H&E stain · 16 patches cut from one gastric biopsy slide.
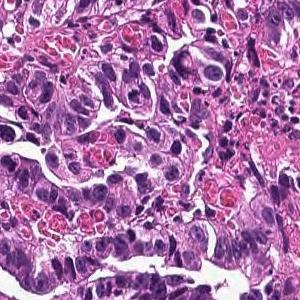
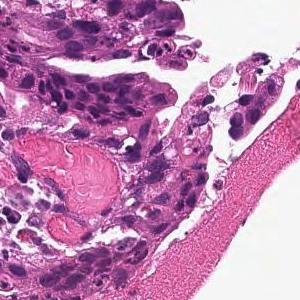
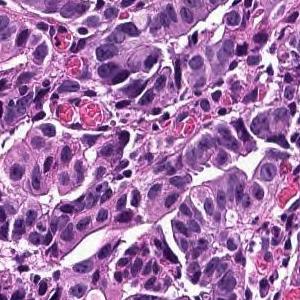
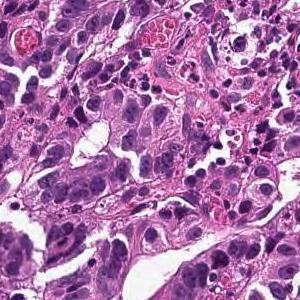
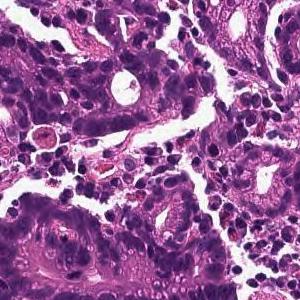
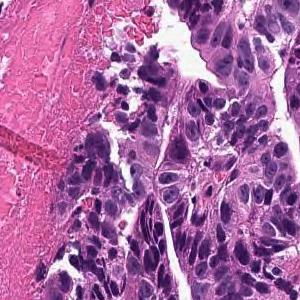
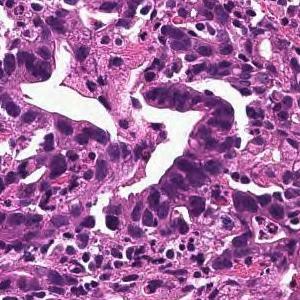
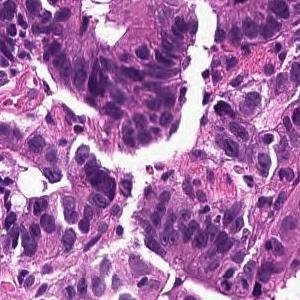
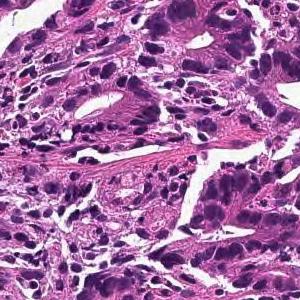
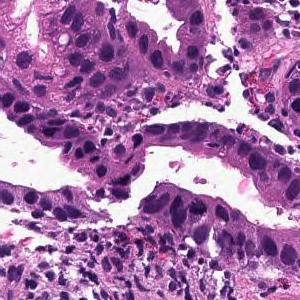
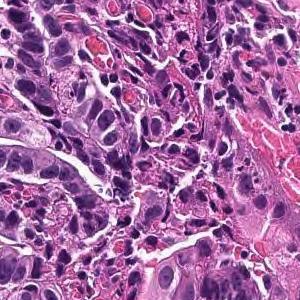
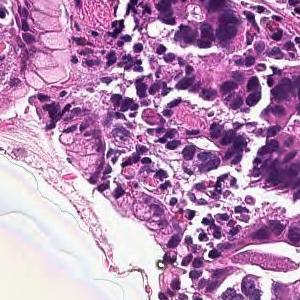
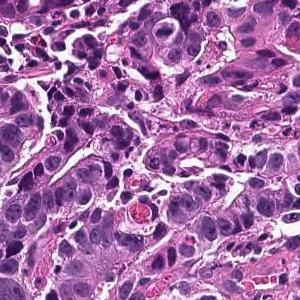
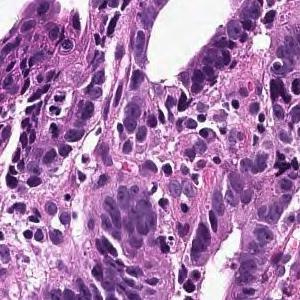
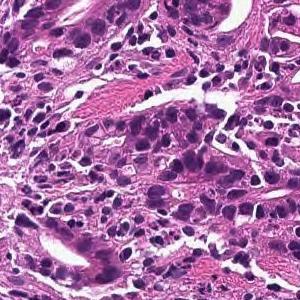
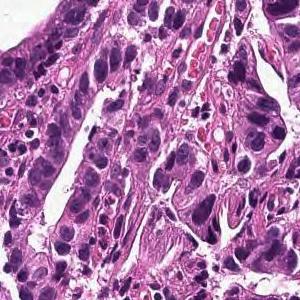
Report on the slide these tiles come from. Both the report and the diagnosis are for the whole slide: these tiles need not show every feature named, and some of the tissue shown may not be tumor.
On the superficial epithelium, tumor tissue consisting of large, irregular glandular ducts partially fused and infiltrated is observed. Well to moderately differentiated tubular adenocarcinoma (well differentiated tubular adenocarcinoma, moderately differentiated tubular adenocarcinoma)
Classified as well to moderately differentiated tubular adenocarcinoma.
